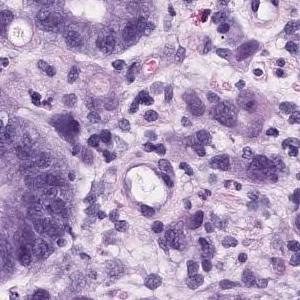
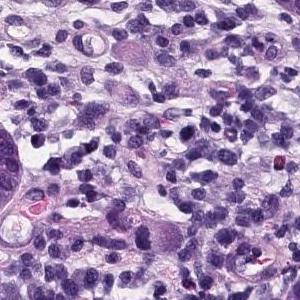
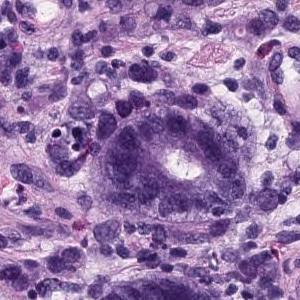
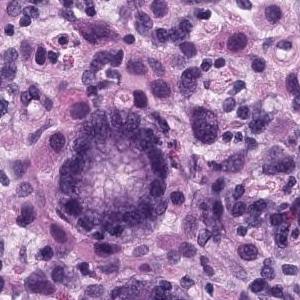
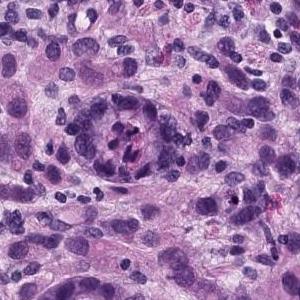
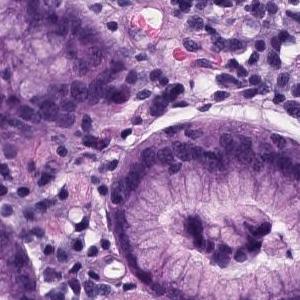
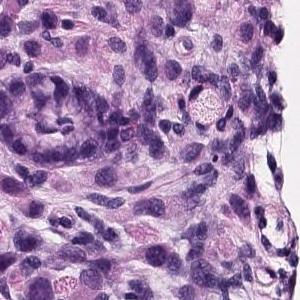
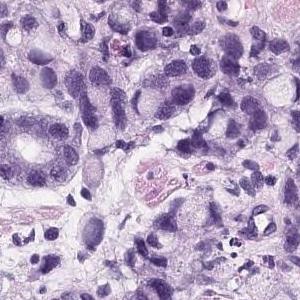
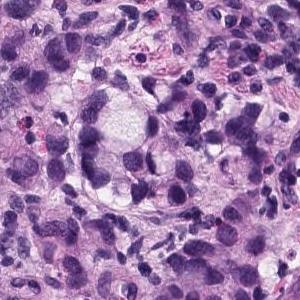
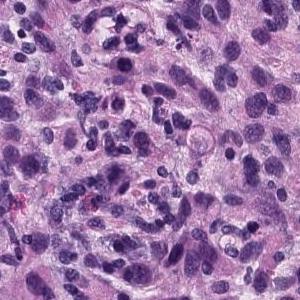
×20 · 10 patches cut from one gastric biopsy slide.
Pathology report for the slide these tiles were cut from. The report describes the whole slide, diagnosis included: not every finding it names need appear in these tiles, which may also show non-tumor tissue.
Group 5, Adenocarcinoma. Poorly differentiated adenocarcinoma, non-solid type
The non-solid type named here is a Japanese Classification of Gastric Carcinoma category.
